H&E stain · 14 patches cut from one gastric biopsy slide · 300×300 px each.
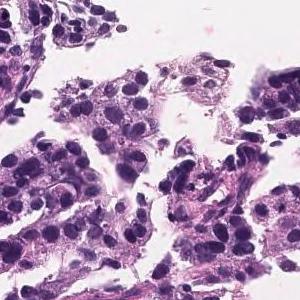
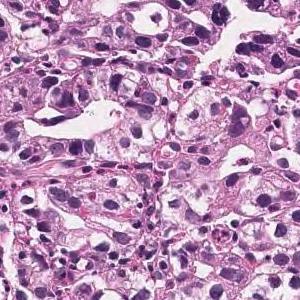
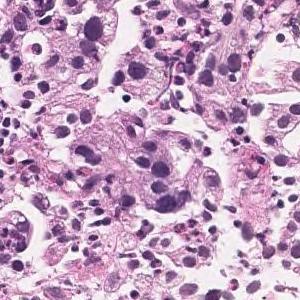
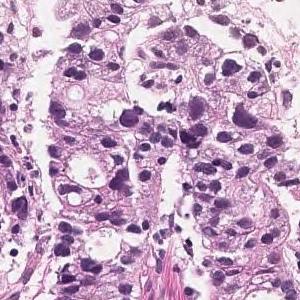
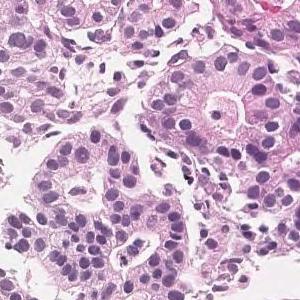
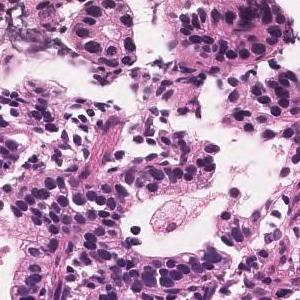
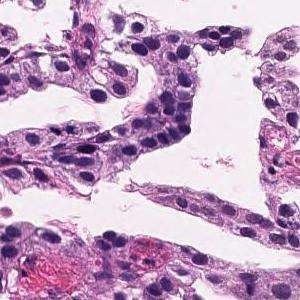
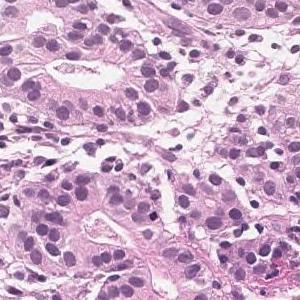
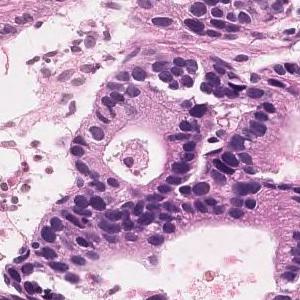
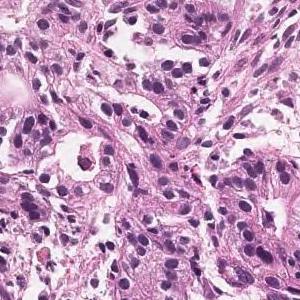
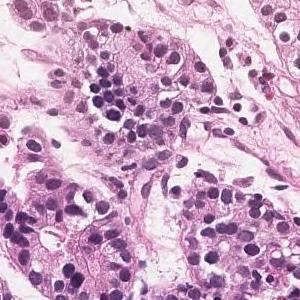
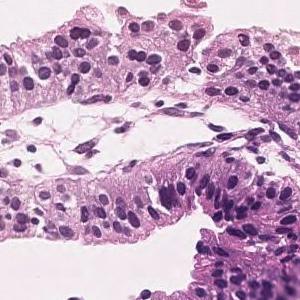
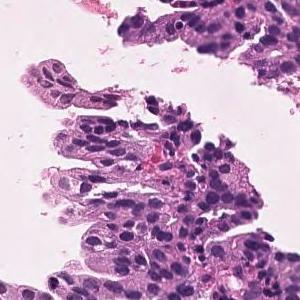
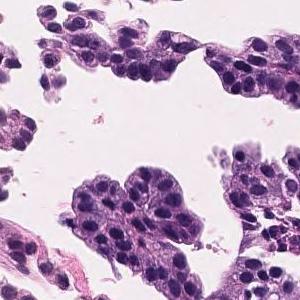
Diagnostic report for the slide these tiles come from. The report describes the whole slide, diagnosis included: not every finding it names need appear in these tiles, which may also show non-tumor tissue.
In the superficial epithelium, tumor tissue that invades by forming medium-sized to small, irregular ducts is observed. moderately differentiated tubular adenocarcinoma.
